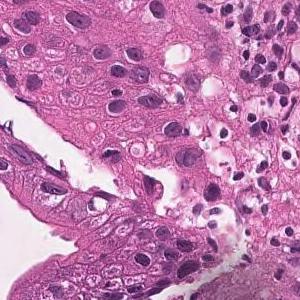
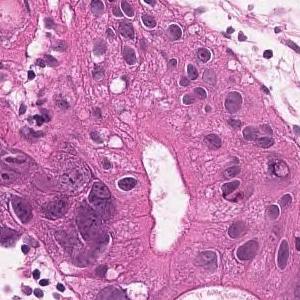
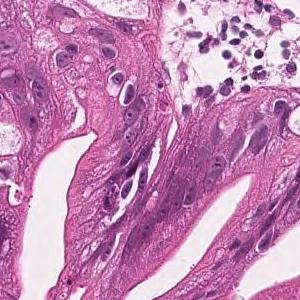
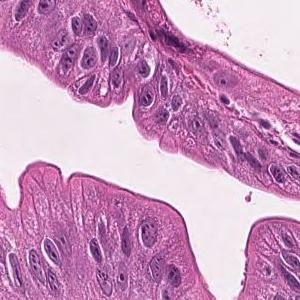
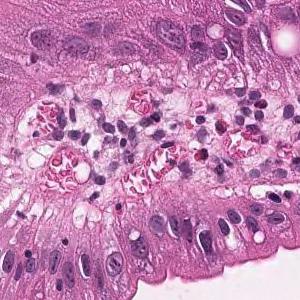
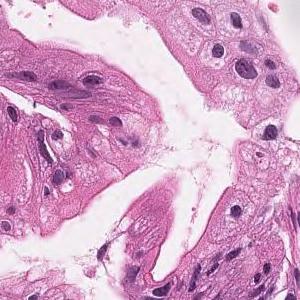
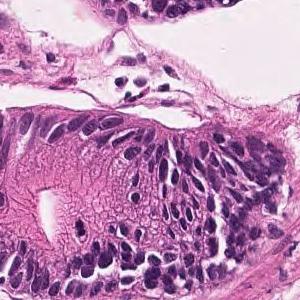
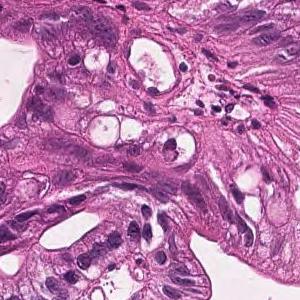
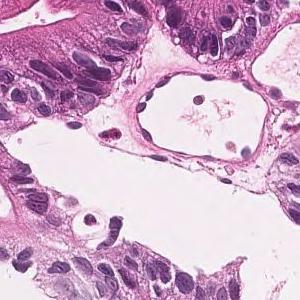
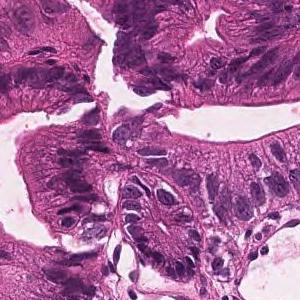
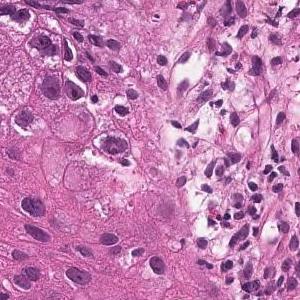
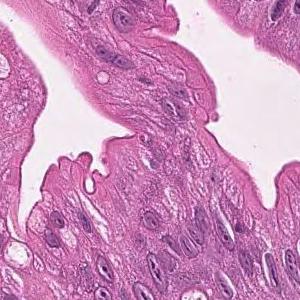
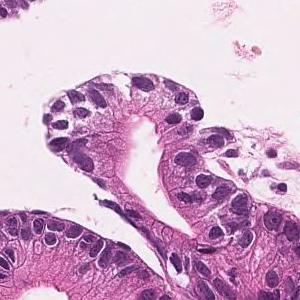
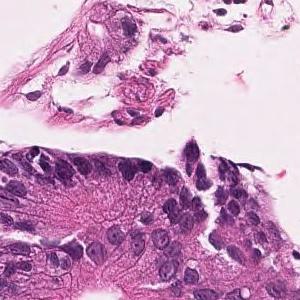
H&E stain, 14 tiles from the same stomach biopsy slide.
Pathology report for the biopsy slide these tiles were cut from. What the report and the diagnosis say applies to the whole slide; these tiles may miss some of the features named and may include tissue that is not tumor.
On the superficial epithelium, tumor tissue that infiltrates by forming medium-sized papillary or small irregular ducts is observed. Papillary adenocarcinoma
